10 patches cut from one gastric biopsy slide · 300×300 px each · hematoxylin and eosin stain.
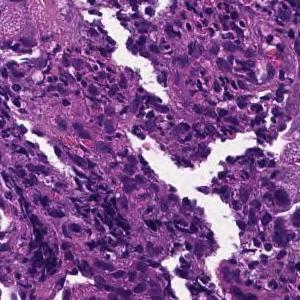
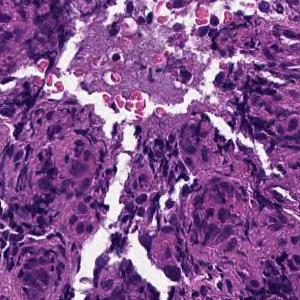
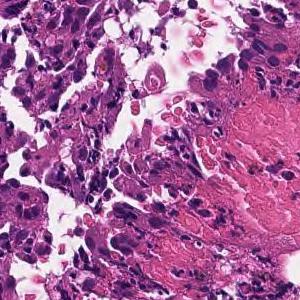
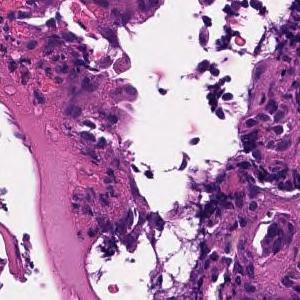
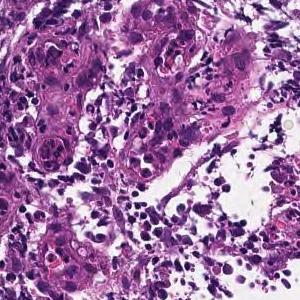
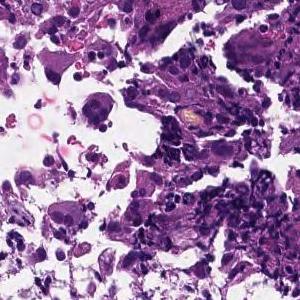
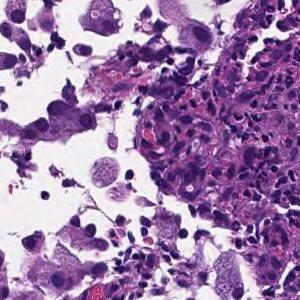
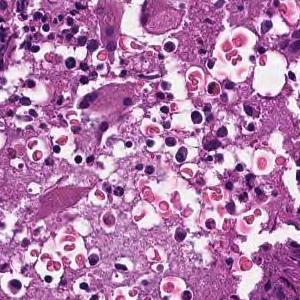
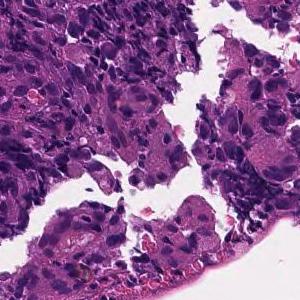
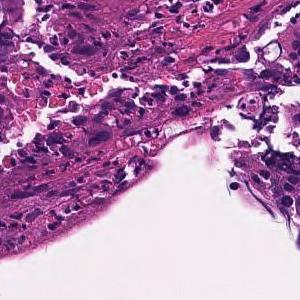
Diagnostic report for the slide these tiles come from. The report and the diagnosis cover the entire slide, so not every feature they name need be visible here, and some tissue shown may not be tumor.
Tumor cells are medium to large, cuboidal, and have little tendency to differentiate. Poorly differentiated adenocarcinoma, solid-type  or moderately differentiated tubular adenocarcinoma
Labeled in the dataset as poorly differentiated adenocarcinoma, solid type (Japanese Classification of Gastric Carcinoma). The WHO 2019 equivalent is tubular adenocarcinoma, poorly differentiated.
